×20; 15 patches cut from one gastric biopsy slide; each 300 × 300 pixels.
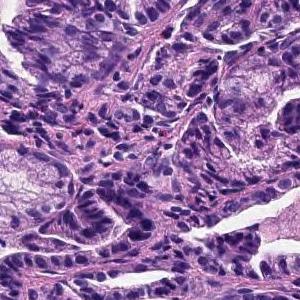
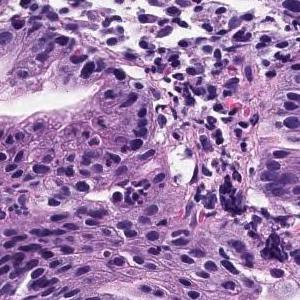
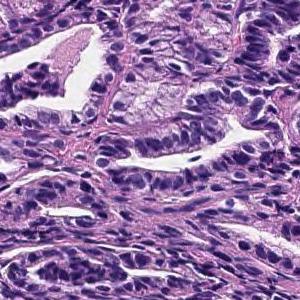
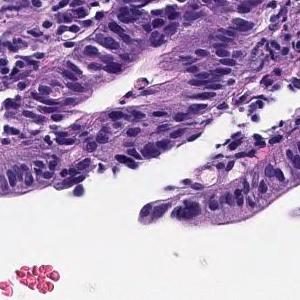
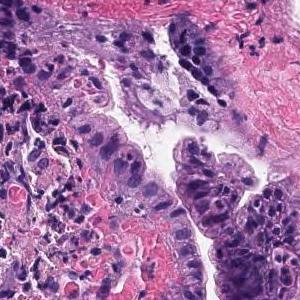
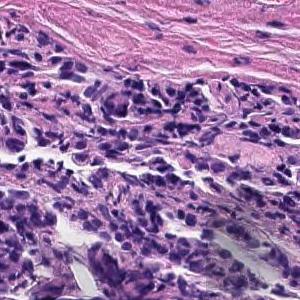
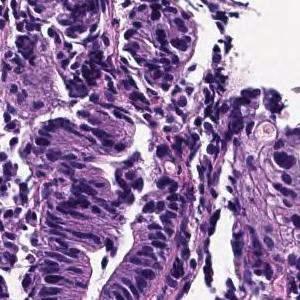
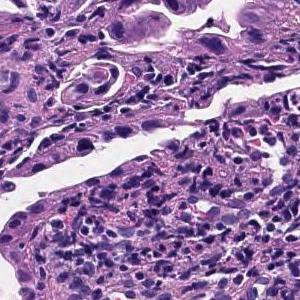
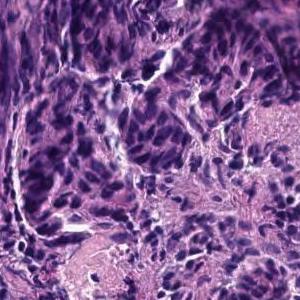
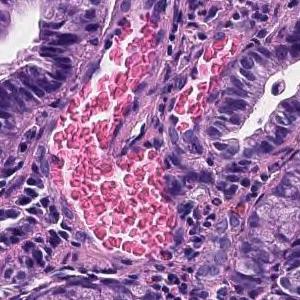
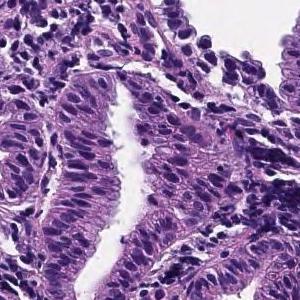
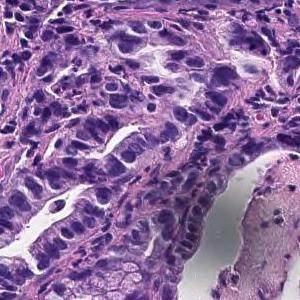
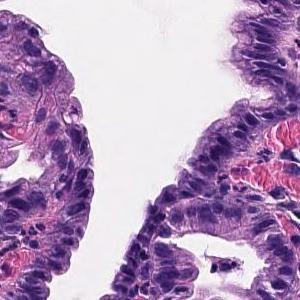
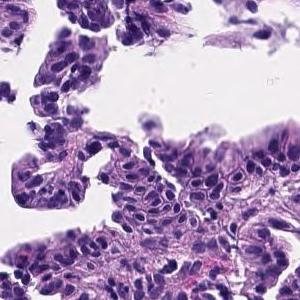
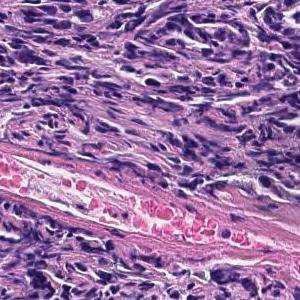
Report on the slide these tiles come from. The findings and the diagnosis refer to the entire slide; these tiles show only part of it, possibly with non-tumor tissue, and may not show every feature named.
The superficial tumors shows large papillary structures or large and small ducts and infiltrates. Papillary adenocarcinoma.
